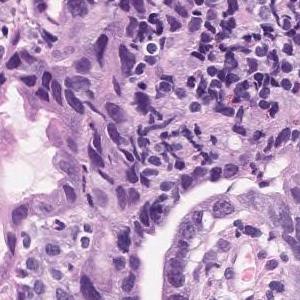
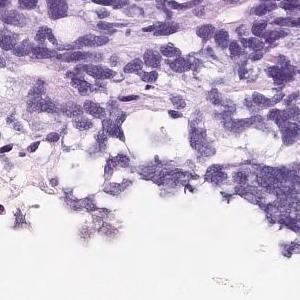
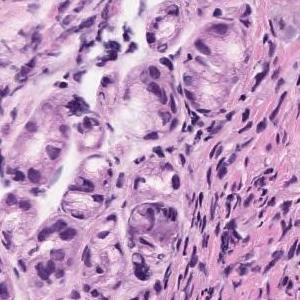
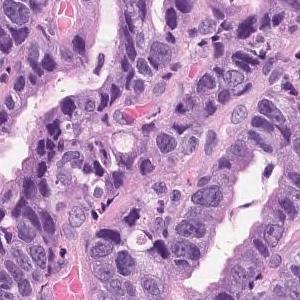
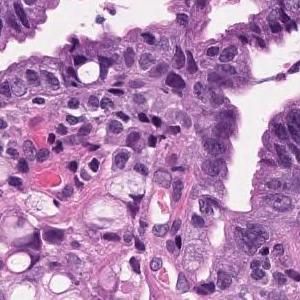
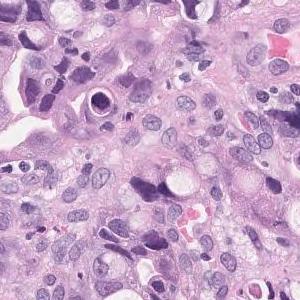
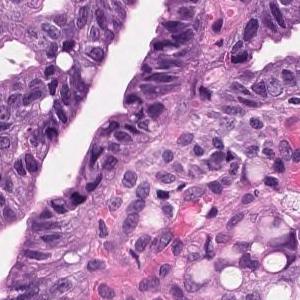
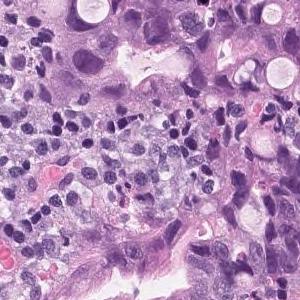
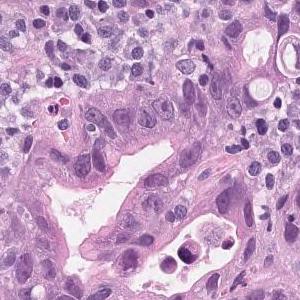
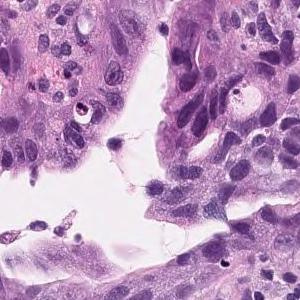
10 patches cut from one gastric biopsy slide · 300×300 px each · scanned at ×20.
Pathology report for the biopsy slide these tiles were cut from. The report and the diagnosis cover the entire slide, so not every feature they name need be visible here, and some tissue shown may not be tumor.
Tumor tissue consisting of medium-sized, cord-like or irregular glandular infiltration is observed in the superficial epithelium. Poorly differentiated adenocarcinoma, non-solid type or moderately differentiated tubular adenocarcinoma
The dataset labels this slide poorly differentiated adenocarcinoma, non-solid type.
"Non-solid type" is a category of the Japanese Classification of Gastric Carcinoma.
